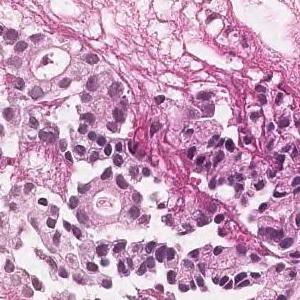
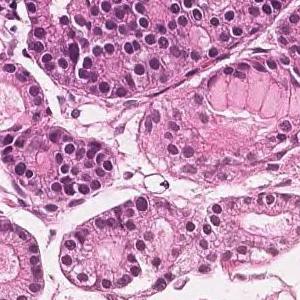
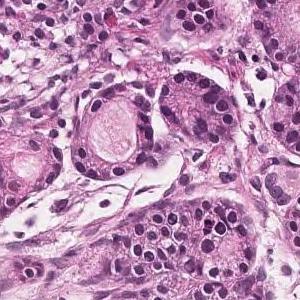
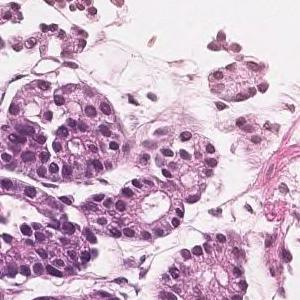
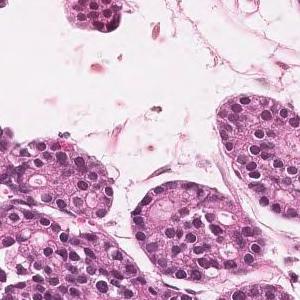
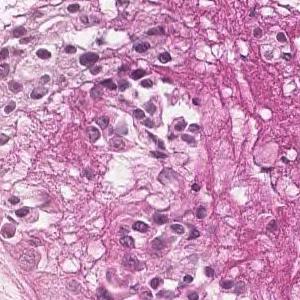
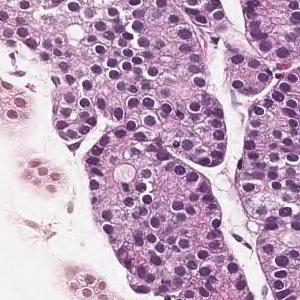
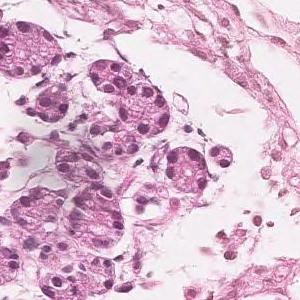
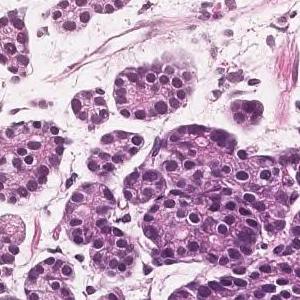
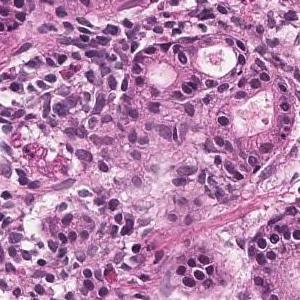
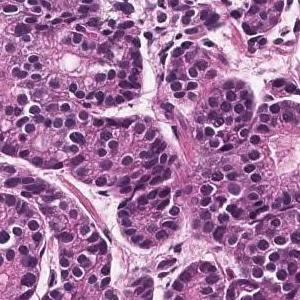
H&E stain · 11 tiles from the same stomach biopsy slide · 300×300 px each.
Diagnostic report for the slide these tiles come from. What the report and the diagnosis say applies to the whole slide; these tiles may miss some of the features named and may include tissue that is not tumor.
In the superficial epithelium, tumor tissue that invades by forming medium-sized to small, irregular ducts is observed. Moderately differentiated adenocarcinoma.
Histologic type: Moderately differentiated tubular adenocarcinoma.
